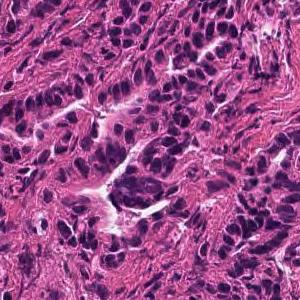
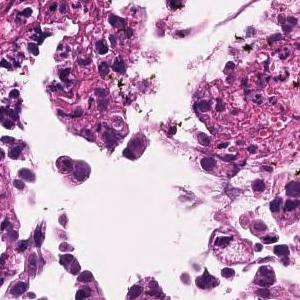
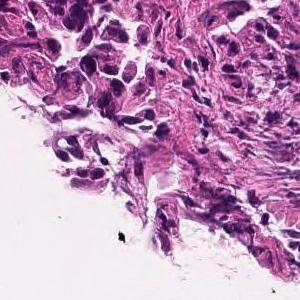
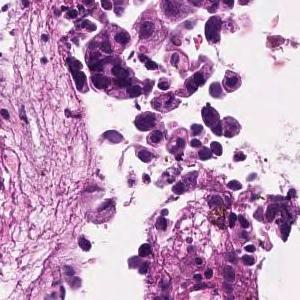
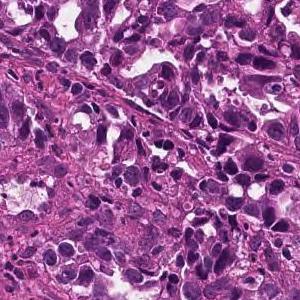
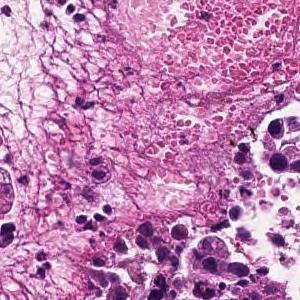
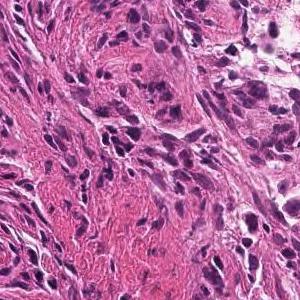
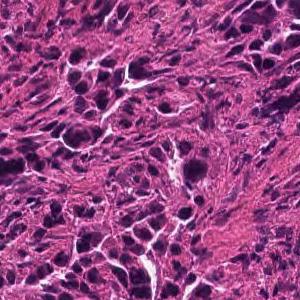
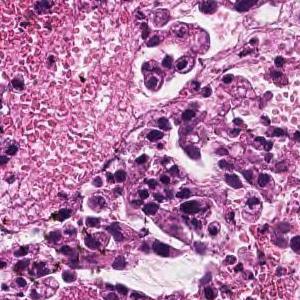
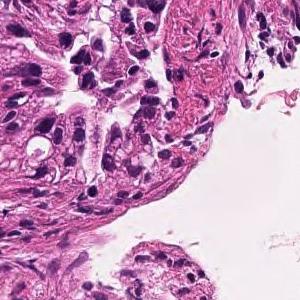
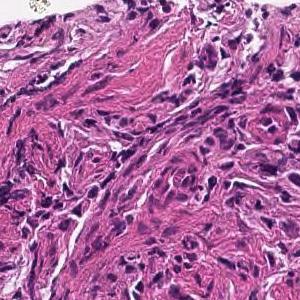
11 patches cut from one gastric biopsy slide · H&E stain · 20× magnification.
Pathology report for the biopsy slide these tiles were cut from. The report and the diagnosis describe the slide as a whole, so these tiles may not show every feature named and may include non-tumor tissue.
In the superficial epithelium, tumor tissue that invades by forming medium-sized to small, irregular ducts is observed. moderately differentiated tubular adenocarcinoma.
